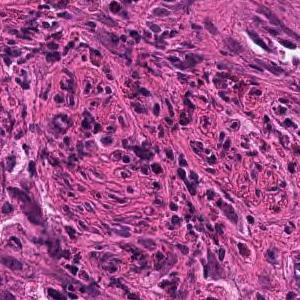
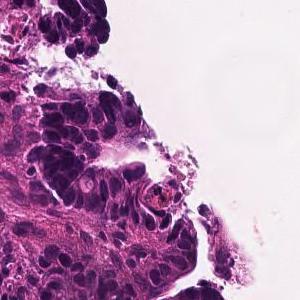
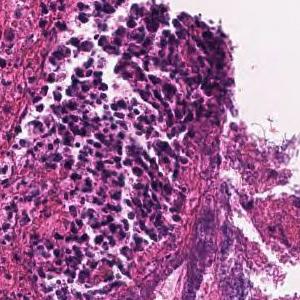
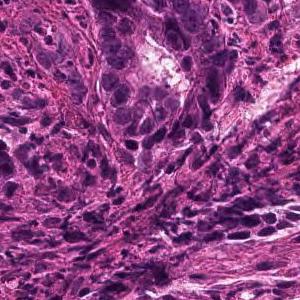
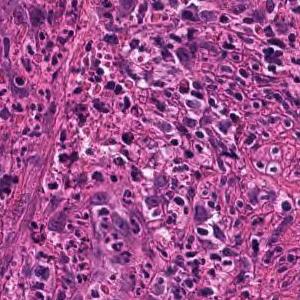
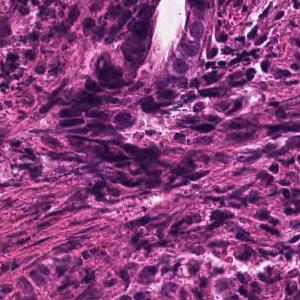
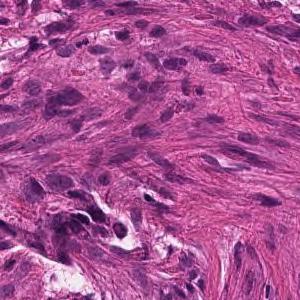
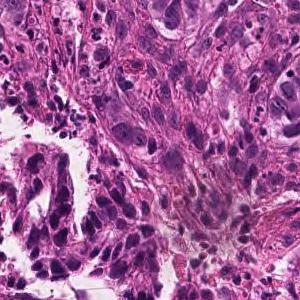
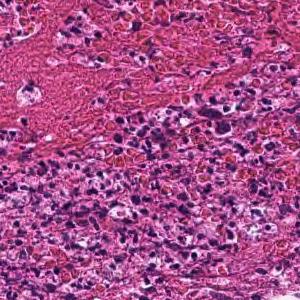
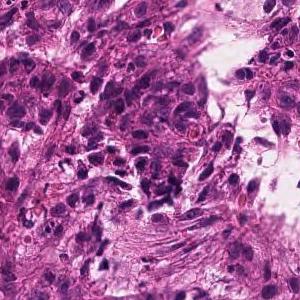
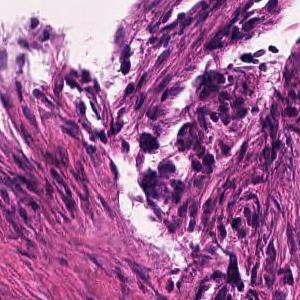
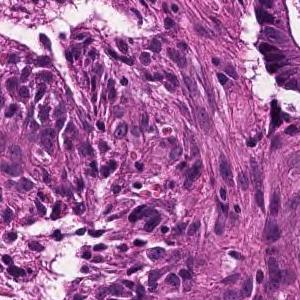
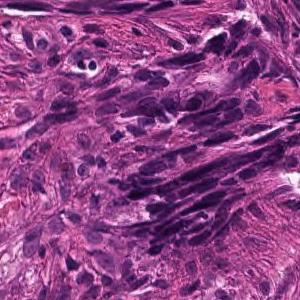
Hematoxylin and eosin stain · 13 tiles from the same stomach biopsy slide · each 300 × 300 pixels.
Pathology report for the biopsy slide these tiles were cut from. What the report and the diagnosis say applies to the whole slide; these tiles may miss some of the features named and may include tissue that is not tumor.
In the superficial epithelium, tumor tissue that invades by forming medium-sized to small, irregular ducts is observed. moderately differentiated tubular adenocarcinoma.
